9 tiles from the same stomach biopsy slide, H&E.
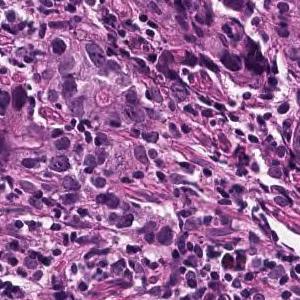
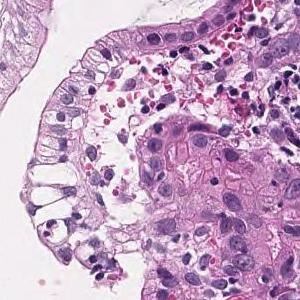
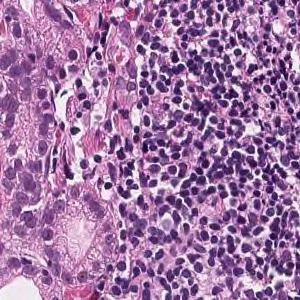
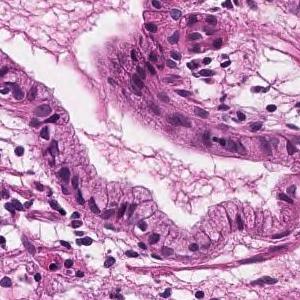
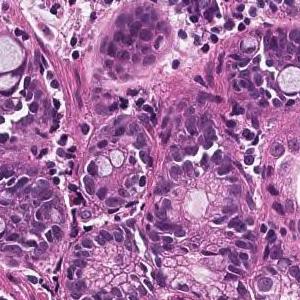
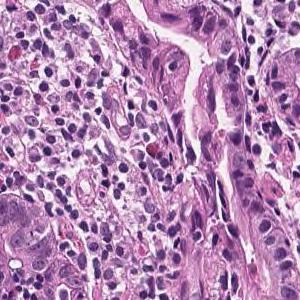
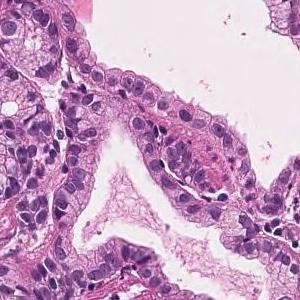
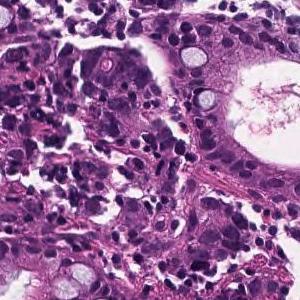
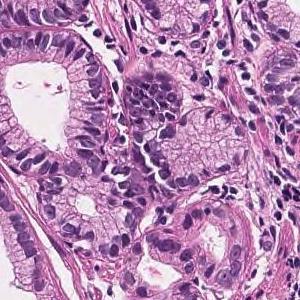
Pathology report for the biopsy slide these tiles were cut from. Both the report and the diagnosis are for the whole slide: these tiles need not show every feature named, and some of the tissue shown may not be tumor.
Tumor tissue consisting of medium-sized, cord-like or irregular glandular infiltration is observed in the superficial epithelium. Poorly differentiated adenocarcinoma, non-solid type or moderately differentiated tubular adenocarcinoma
Histologic type: Moderately to poorly differentiated adenocarcinoma.
The non-solid type named here is a Japanese Classification of Gastric Carcinoma category.
